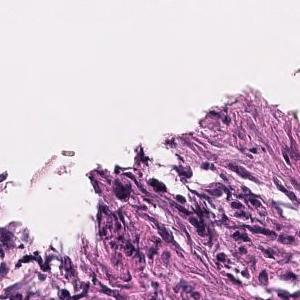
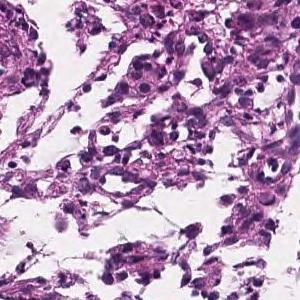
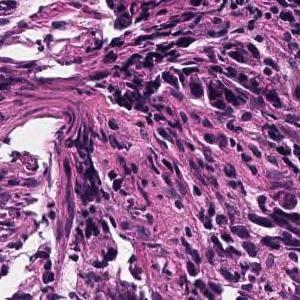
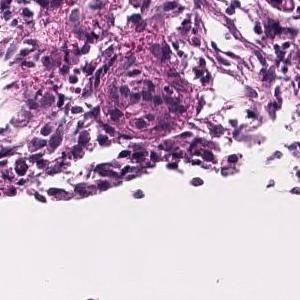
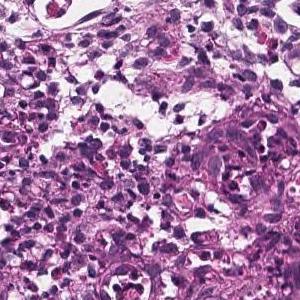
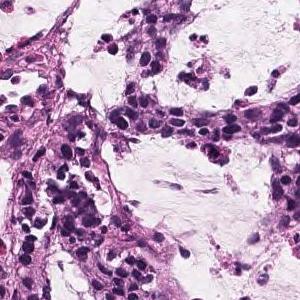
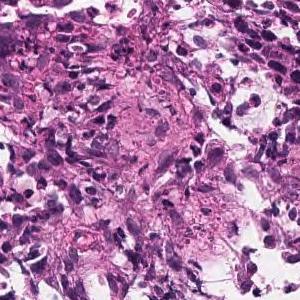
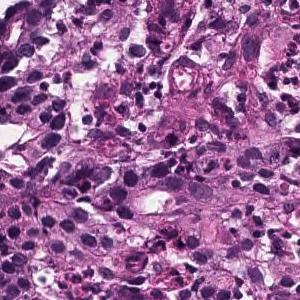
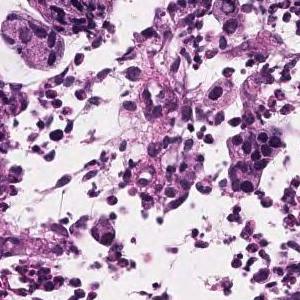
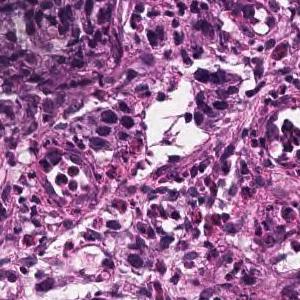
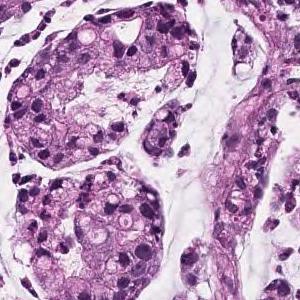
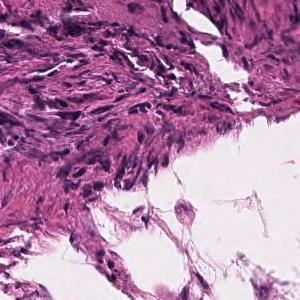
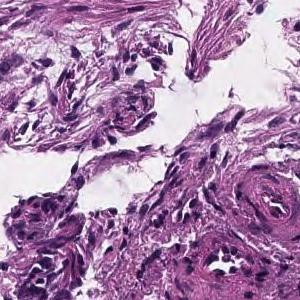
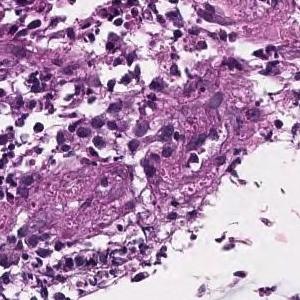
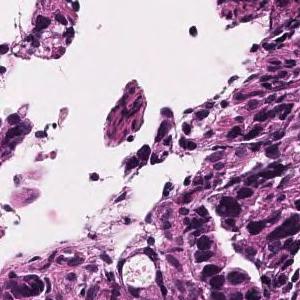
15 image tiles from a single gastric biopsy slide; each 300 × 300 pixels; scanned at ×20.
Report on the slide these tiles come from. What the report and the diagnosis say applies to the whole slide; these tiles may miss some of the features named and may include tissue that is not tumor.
Atypical epithelial cells form obscure ductal structures or small solid follicles, and tumor tissue that proliferates invasively with proliferation of inflammatory granulation tissue is observed. Mucinous adenocarcinoma .
